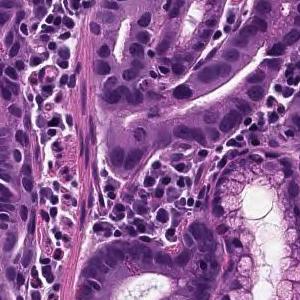
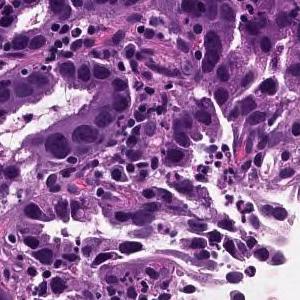
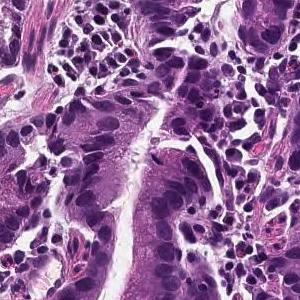
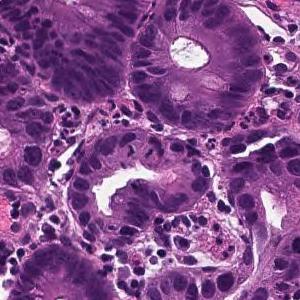
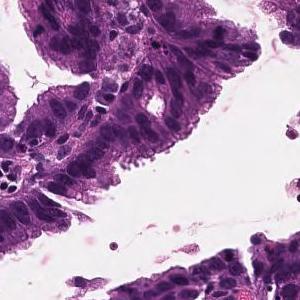
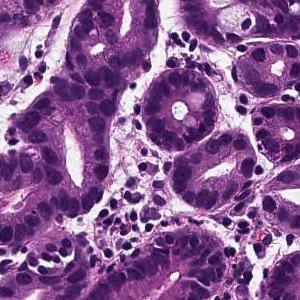
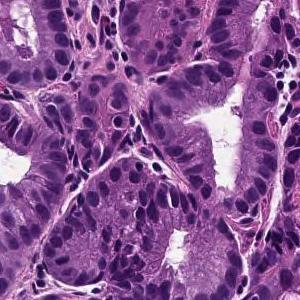
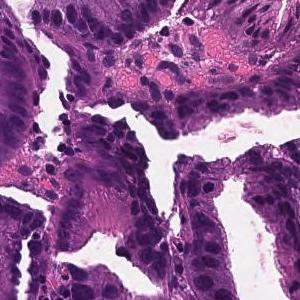
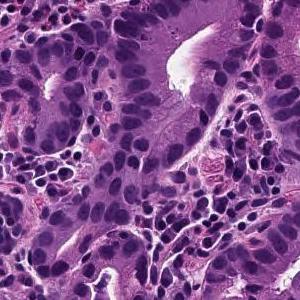
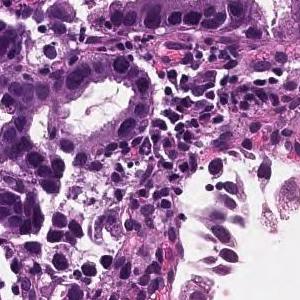
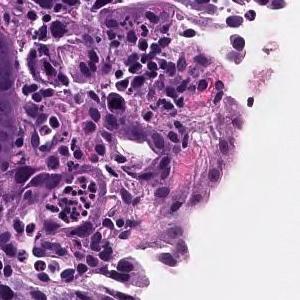
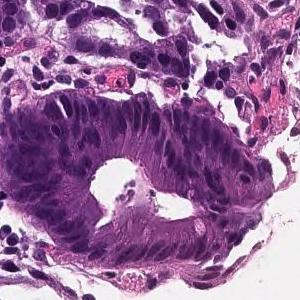
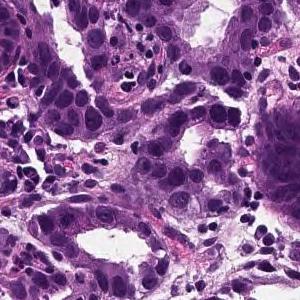
H&E; ×20; 13 image tiles from a single gastric biopsy slide; each 300 × 300 pixels.
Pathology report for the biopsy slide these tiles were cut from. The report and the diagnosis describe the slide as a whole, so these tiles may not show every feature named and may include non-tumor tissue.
From the superficial epithelium to the muscularis mucosae, tumor tissue consisting of medium-sized and irregular glandular ducts infiltrating is observed. Well differentiated tubular adenocarcinoma
